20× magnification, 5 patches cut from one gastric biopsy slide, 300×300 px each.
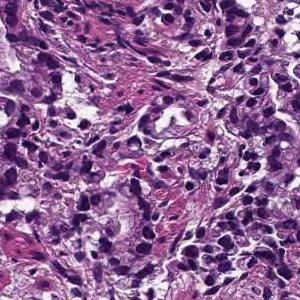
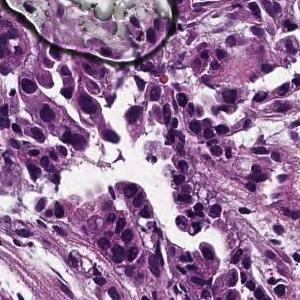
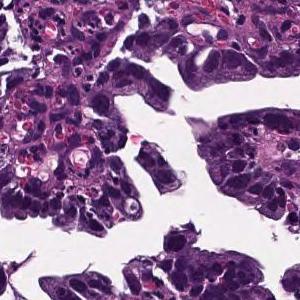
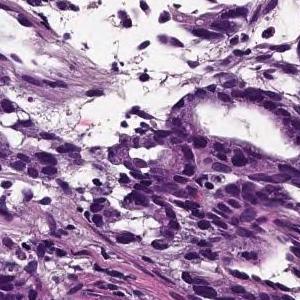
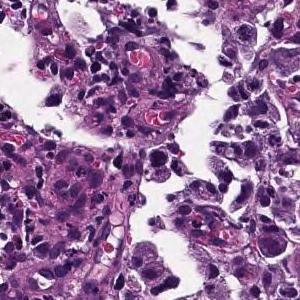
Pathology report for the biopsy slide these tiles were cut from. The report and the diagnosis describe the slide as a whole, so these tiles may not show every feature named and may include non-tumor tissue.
Medium to small, irregular glandular ducts are formed in the superficial epithelium, and in some cases, the glandular ducts are fused to show solid alveolar lesions and infiltrating tumor tissue is observed. Moderately to poorly differentiated adenocarcinoma.
